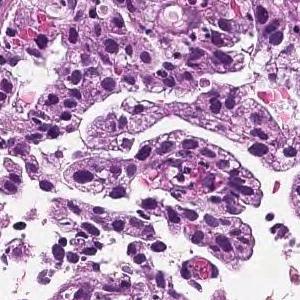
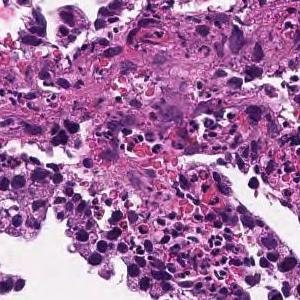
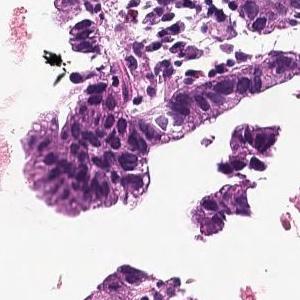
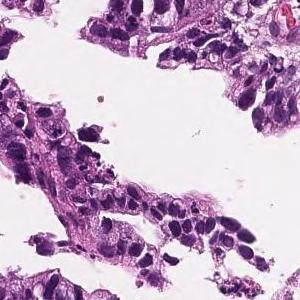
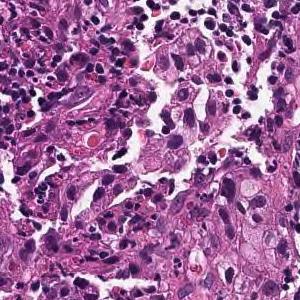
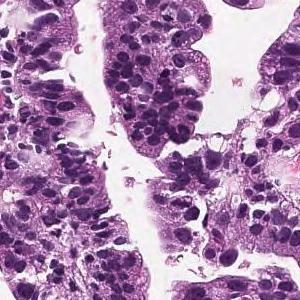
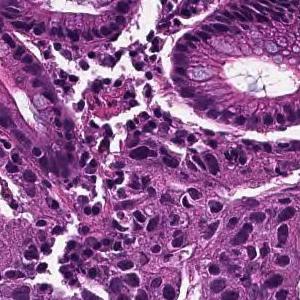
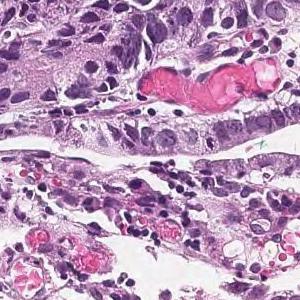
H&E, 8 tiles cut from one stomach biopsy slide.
Pathology report for the biopsy slide these tiles were cut from. Both the report and the diagnosis are for the whole slide: these tiles need not show every feature named, and some of the tissue shown may not be tumor.
Tumor tissue consisting of medium-sized, cord-like or irregular glandular infiltration is observed in the superficial epithelium. Poorly differentiated adenocarcinoma, non-solid type or moderately differentiated tubular adenocarcinoma
Classified as moderately to poorly differentiated adenocarcinoma.
"Non-solid type" is a category of the Japanese Classification of Gastric Carcinoma.
